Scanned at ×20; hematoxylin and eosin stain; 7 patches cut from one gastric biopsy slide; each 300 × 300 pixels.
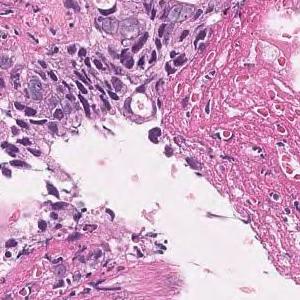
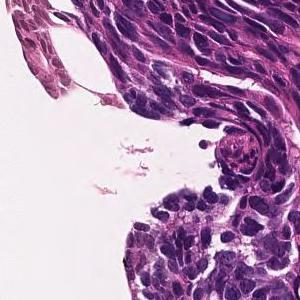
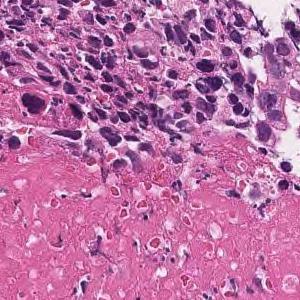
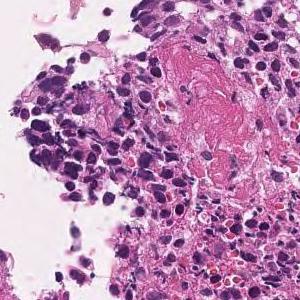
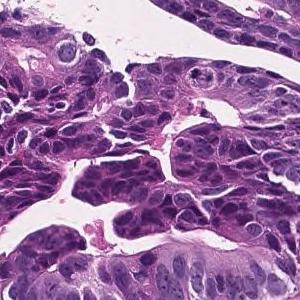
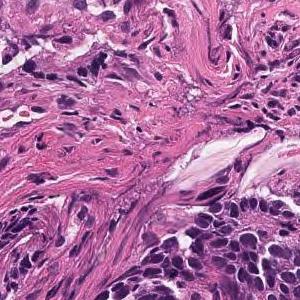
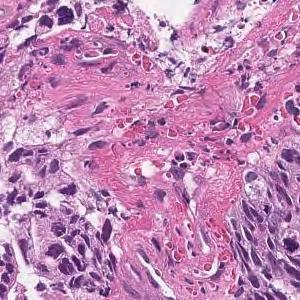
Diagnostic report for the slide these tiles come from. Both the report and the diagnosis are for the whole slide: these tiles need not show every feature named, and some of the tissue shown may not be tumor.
In the superficial epithelium, tumor tissue that invades by forming medium-sized to small, irregular ducts is observed. moderately differentiated tubular adenocarcinoma.
